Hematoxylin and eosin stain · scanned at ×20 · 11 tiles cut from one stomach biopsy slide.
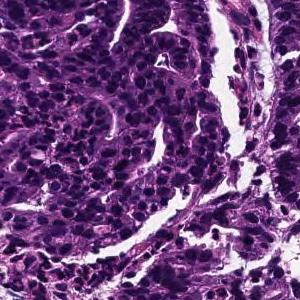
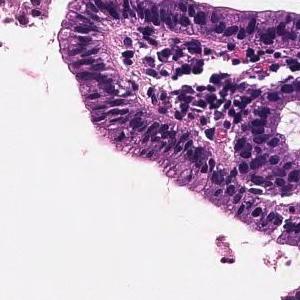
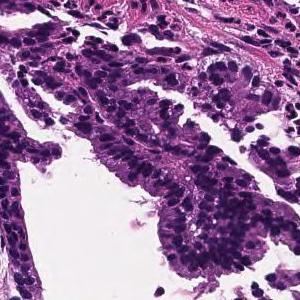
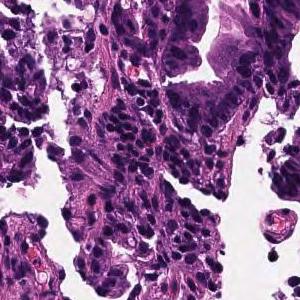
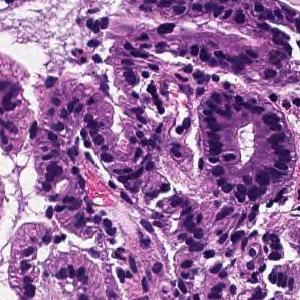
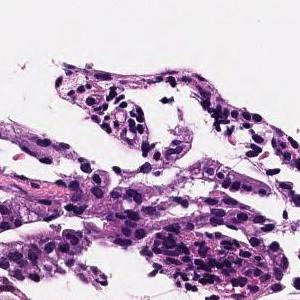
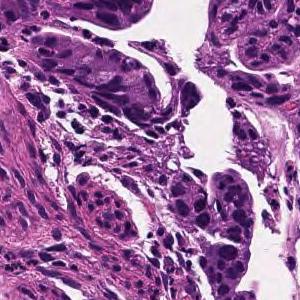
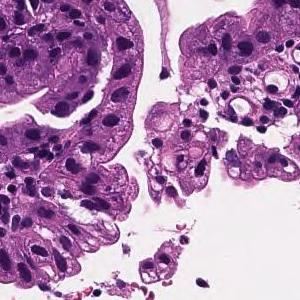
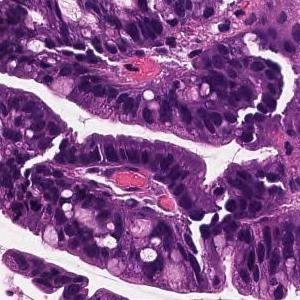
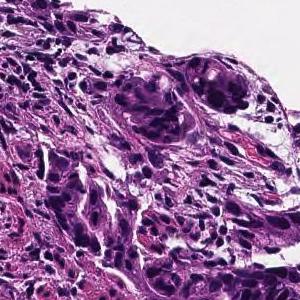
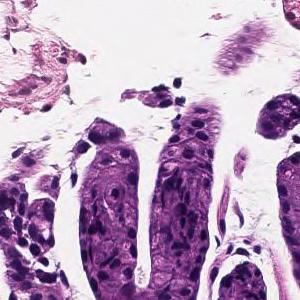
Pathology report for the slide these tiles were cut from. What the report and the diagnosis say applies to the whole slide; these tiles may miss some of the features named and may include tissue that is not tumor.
On the superficial epithelium, tumor tissue that infiltrates by forming medium-sized papillary or small irregular ducts is observed. Papillary adenocarcinoma
